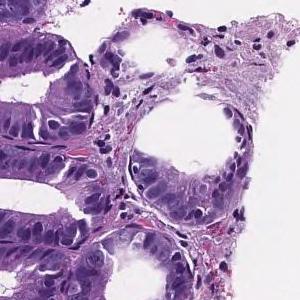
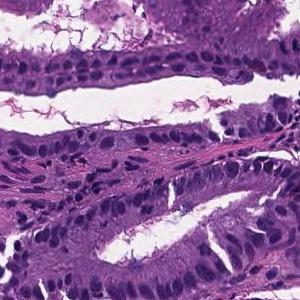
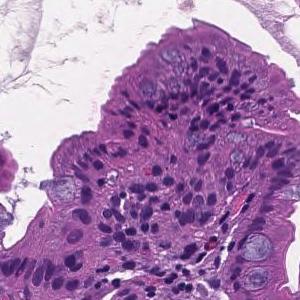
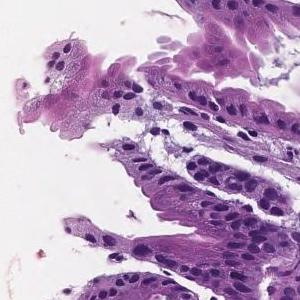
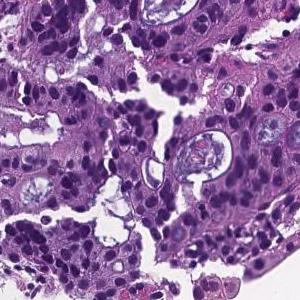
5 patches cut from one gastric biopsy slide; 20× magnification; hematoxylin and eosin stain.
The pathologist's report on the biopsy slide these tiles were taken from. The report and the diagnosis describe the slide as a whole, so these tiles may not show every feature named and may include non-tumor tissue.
In the superficial epithelium, tumor tissue that invades by forming medium-sized to small, irregular ducts is observed. moderately differentiated tubular adenocarcinoma.
